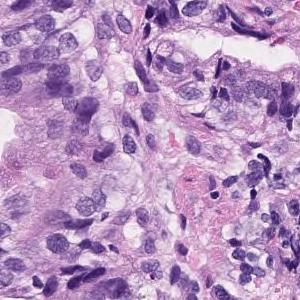
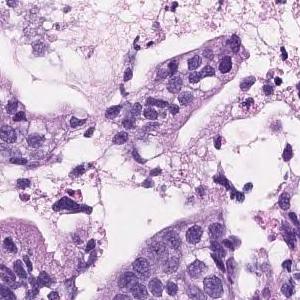
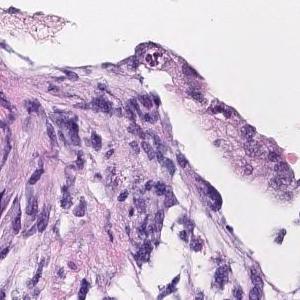
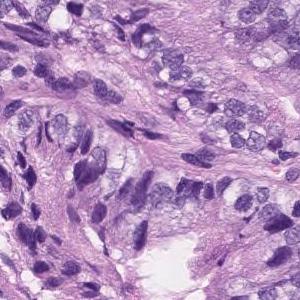
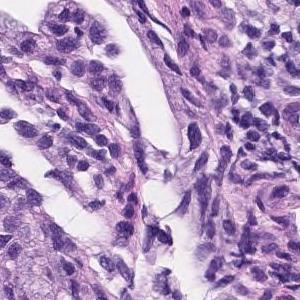
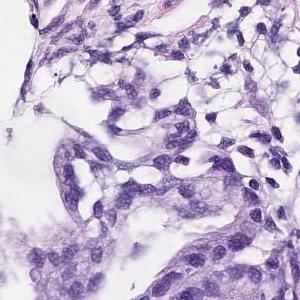
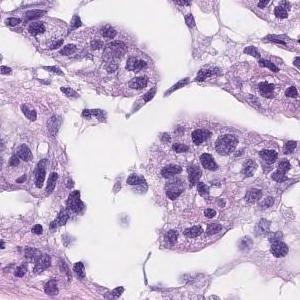
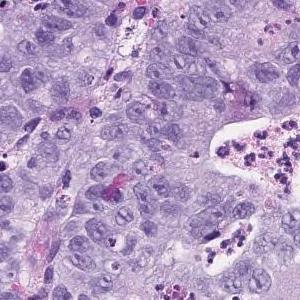
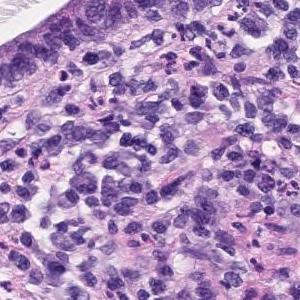
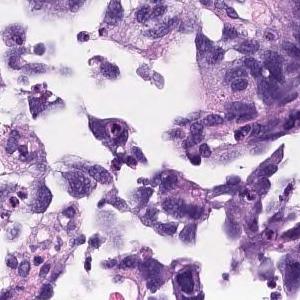
H&E, scanned at ×20, 10 patches cut from one gastric biopsy slide, 300×300 px each.
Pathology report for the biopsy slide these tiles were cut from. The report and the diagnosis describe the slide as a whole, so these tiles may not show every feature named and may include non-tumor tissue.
Tumor cells are large, highly columnar, large club-shaped nuclei, and are associated with chromatin aggregation. Papillary adenocarcinoma.
